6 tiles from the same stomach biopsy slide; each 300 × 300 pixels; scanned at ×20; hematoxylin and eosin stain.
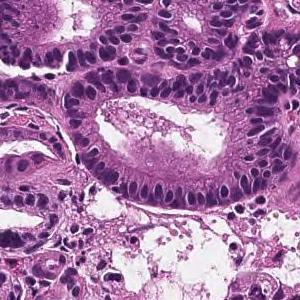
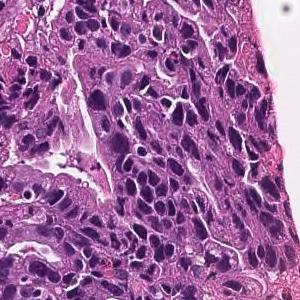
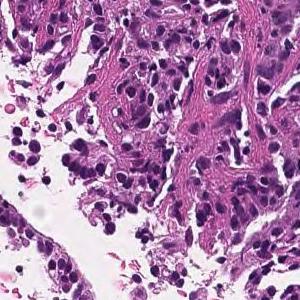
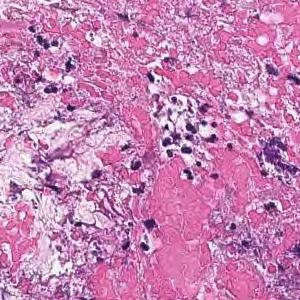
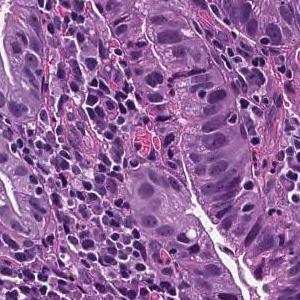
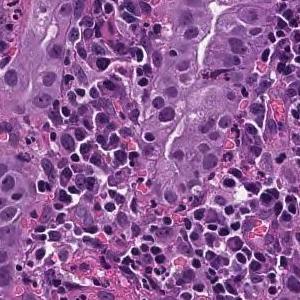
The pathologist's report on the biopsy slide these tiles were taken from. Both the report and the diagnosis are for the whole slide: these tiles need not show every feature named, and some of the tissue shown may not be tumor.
On the superficial epithelium, tumor tissue that infiltrates by forming medium-sized papillary or small irregular ducts is observed. Papillary adenocarcinoma
